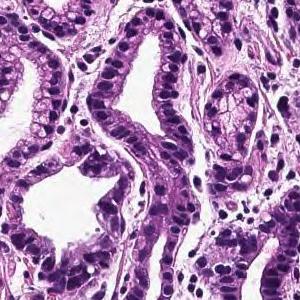
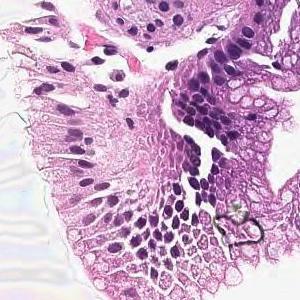
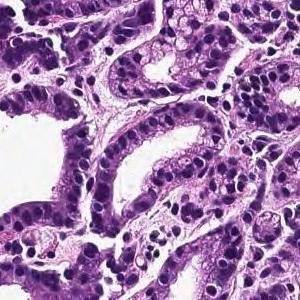
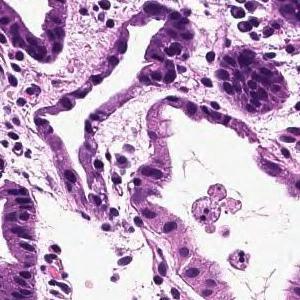
4 tiles from the same stomach biopsy slide · 300×300 px each · 20× magnification.
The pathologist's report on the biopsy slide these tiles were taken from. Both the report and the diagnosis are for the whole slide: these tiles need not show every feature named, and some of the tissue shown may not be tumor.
In the superficial epithelium, tumor tissue that invades by forming medium-sized to small, irregular ducts is observed. moderately differentiated tubular adenocarcinoma.
